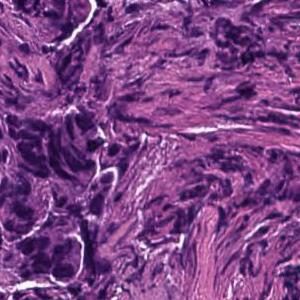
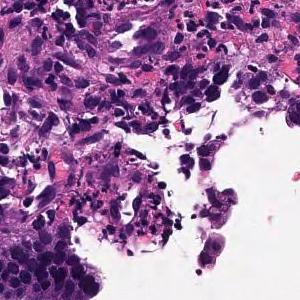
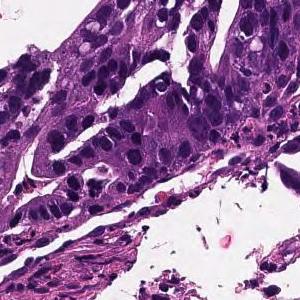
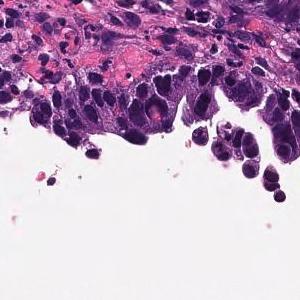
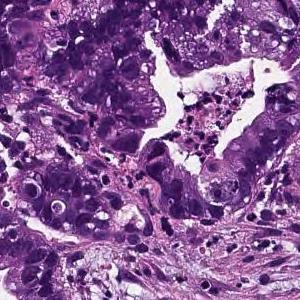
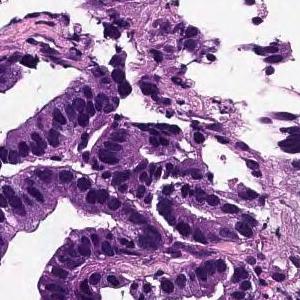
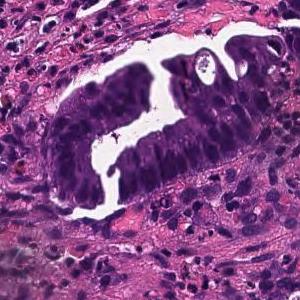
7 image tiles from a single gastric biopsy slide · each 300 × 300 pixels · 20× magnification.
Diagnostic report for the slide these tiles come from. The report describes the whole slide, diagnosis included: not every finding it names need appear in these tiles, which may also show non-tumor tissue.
Tumor cells are large, highly columnar, large club-shaped nuclei, and are associated with chromatin aggregation. Papillary adenocarcinoma.
